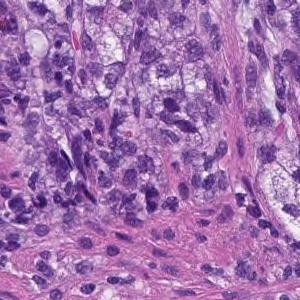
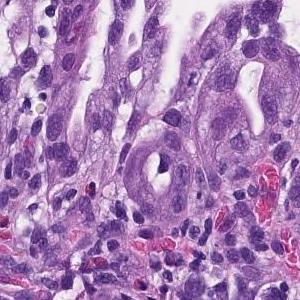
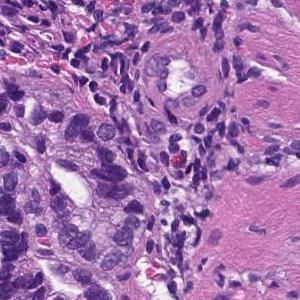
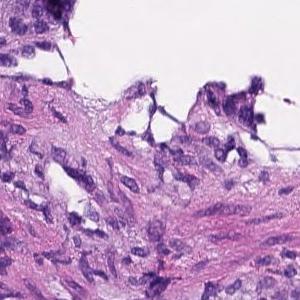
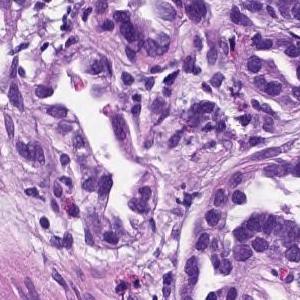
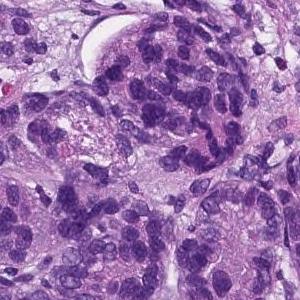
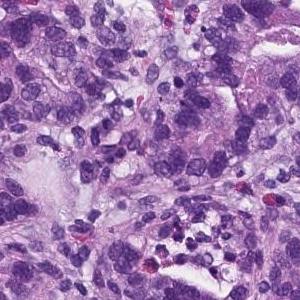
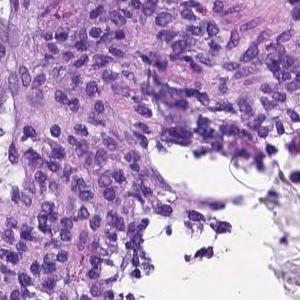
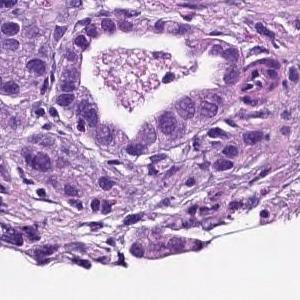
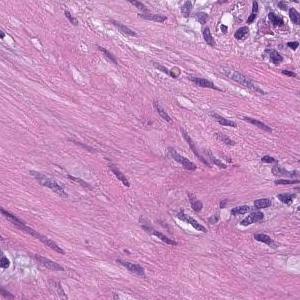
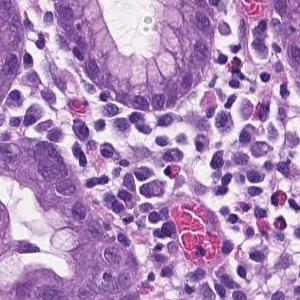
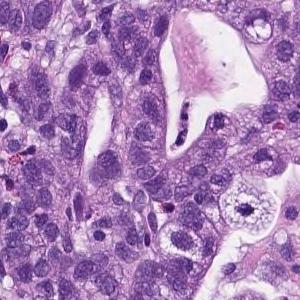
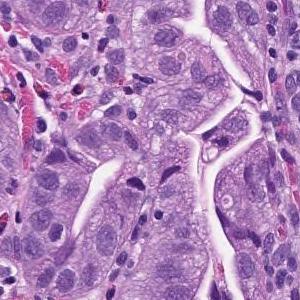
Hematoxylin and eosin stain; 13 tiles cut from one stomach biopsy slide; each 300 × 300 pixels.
Report on the slide these tiles come from. Both the report and the diagnosis are for the whole slide: these tiles need not show every feature named, and some of the tissue shown may not be tumor.
From the superficial epithelium to the muscularis mucosae, tumor tissue consisting of medium-sized and irregular glandular ducts infiltrating is observed. Well differentiated tubular adenocarcinoma
